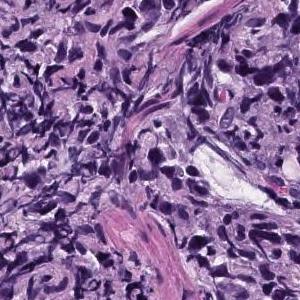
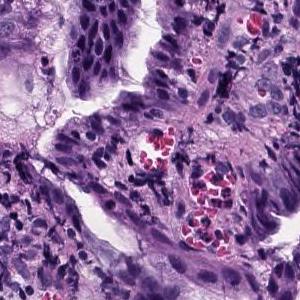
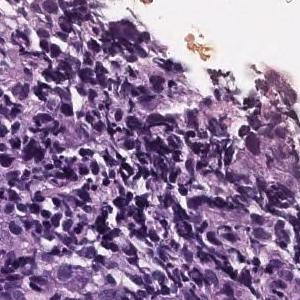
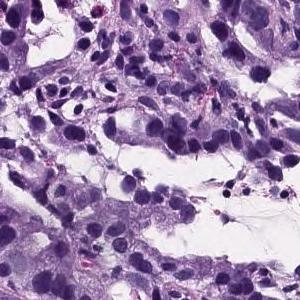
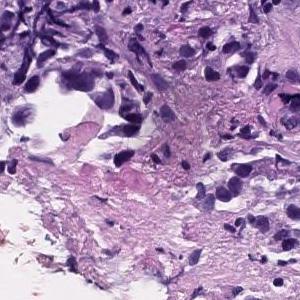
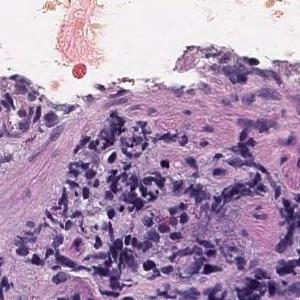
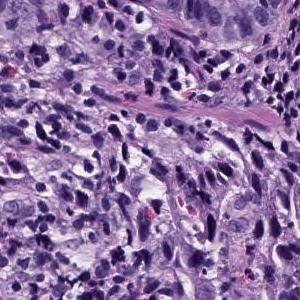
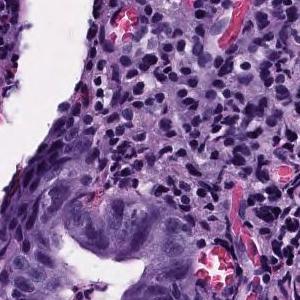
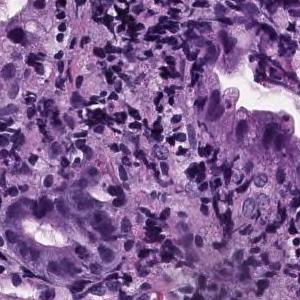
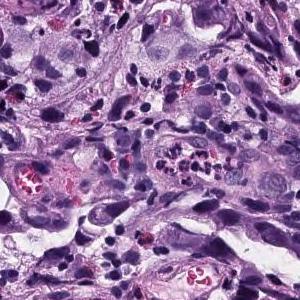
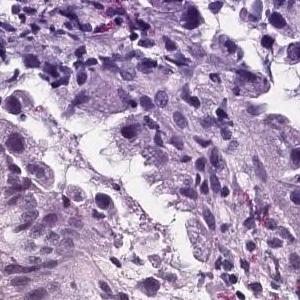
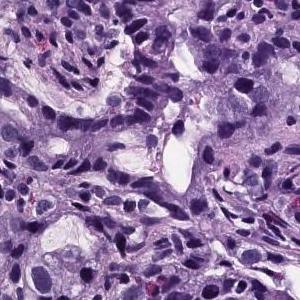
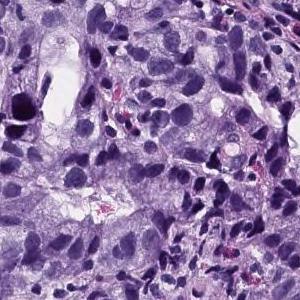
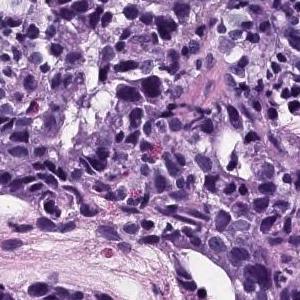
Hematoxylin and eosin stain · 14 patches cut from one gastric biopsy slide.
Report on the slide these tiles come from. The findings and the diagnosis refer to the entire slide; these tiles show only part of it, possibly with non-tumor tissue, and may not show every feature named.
Atypical epithelial cells infiltrating and proliferating while forming solid or cord-like fused glandular cavities of different sizes is observed. moderately differentiated tubular adenocarcinoma, poorly differentiated adenocarcinoma.
Histological subtype: Moderately to poorly differentiated adenocarcinoma.
